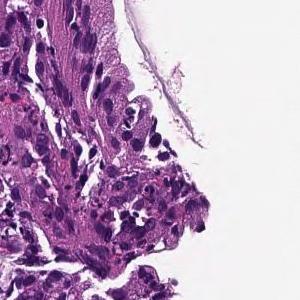
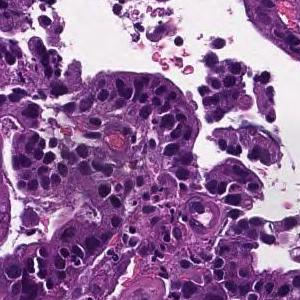
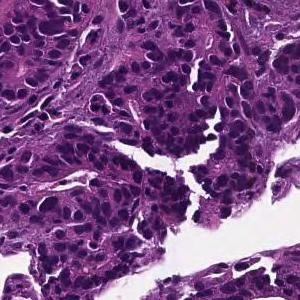
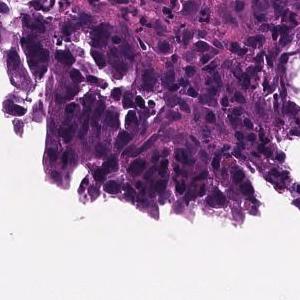
Hematoxylin and eosin stain, ×20, 4 image tiles from a single gastric biopsy slide.
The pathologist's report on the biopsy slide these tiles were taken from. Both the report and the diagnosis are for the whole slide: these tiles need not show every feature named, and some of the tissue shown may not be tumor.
On the superficial epithelium, tumor tissue consisting of large irregular glandular ducts partially fused and infiltrated is observed. Well to moderately differentiated tubular adenocarcinoma (well differentiated tubular adenocarcinoma, moderately differentiated tubular adenocarcinoma)
Tumor subtype: well to moderately differentiated tubular adenocarcinoma.
